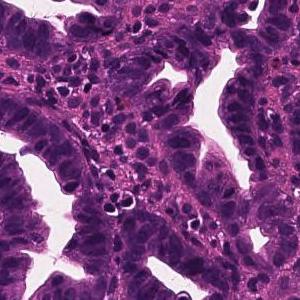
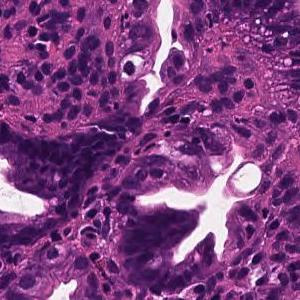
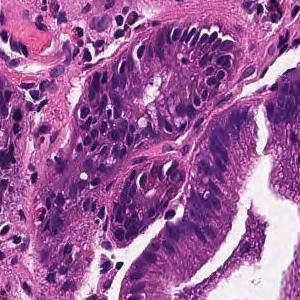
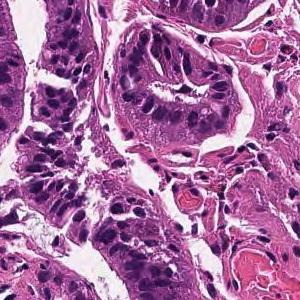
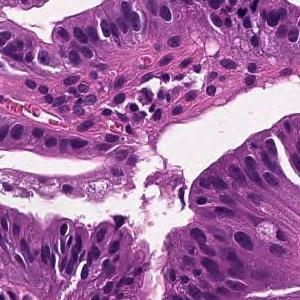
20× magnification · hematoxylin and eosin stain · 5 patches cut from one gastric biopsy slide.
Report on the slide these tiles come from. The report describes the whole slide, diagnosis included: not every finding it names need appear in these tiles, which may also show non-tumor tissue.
On the superficial epithelium, tumor tissue that infiltrates by forming medium-sized papillary or small irregular ducts is observed. Papillary adenocarcinoma
